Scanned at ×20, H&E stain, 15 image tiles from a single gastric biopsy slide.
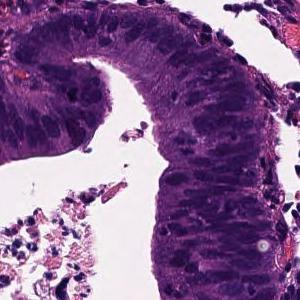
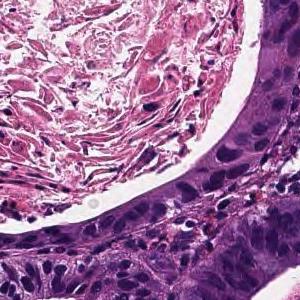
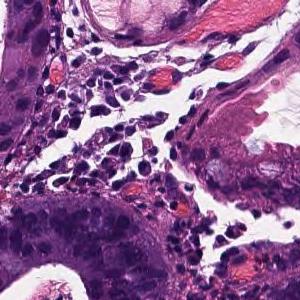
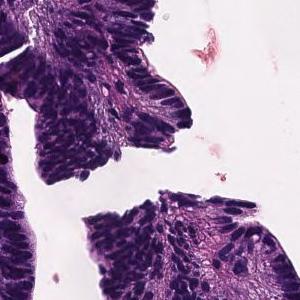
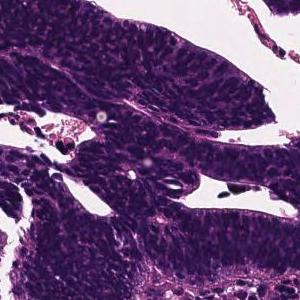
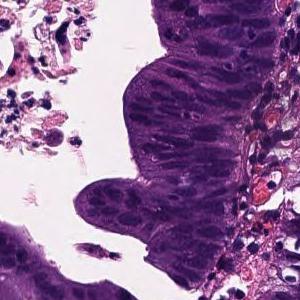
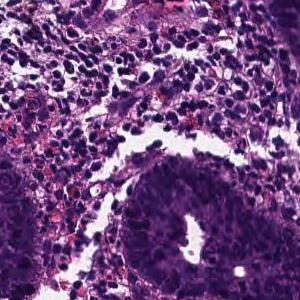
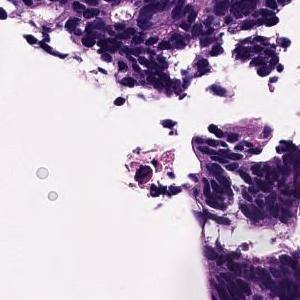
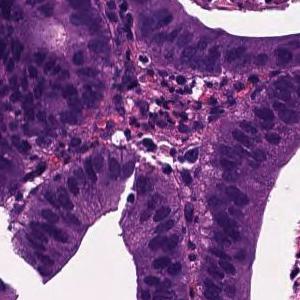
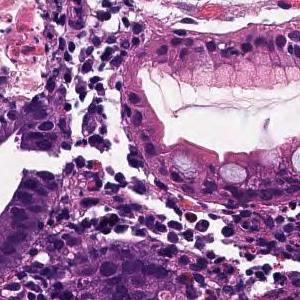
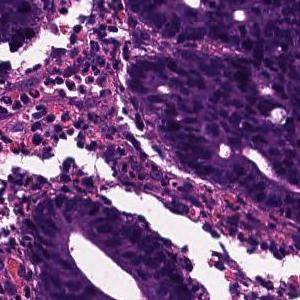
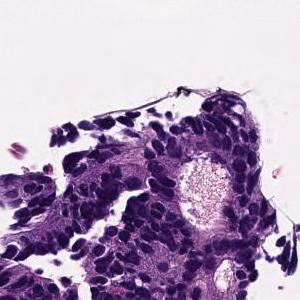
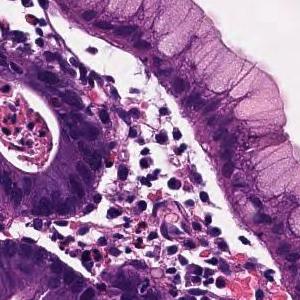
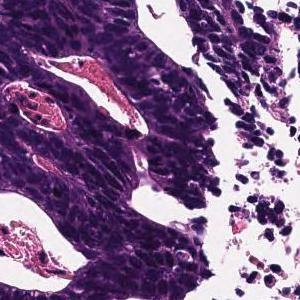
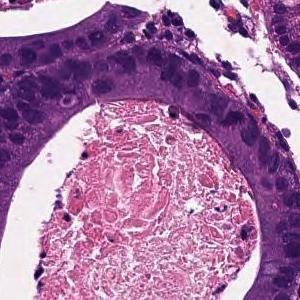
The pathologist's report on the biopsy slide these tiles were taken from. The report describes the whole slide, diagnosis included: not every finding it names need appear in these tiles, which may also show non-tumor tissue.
In the superficial epithelium, tumor tissue that invades by forming medium-sized to small, irregular ducts is observed. moderately differentiated tubular adenocarcinoma.
